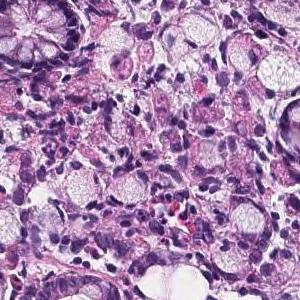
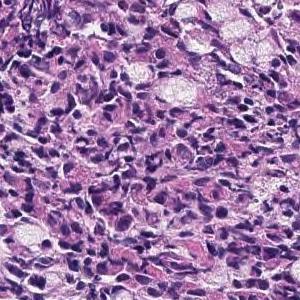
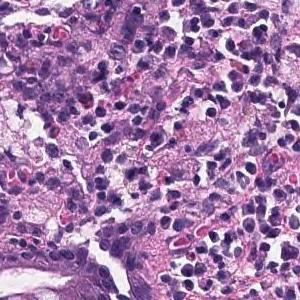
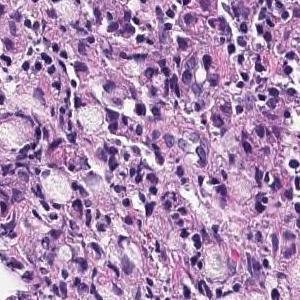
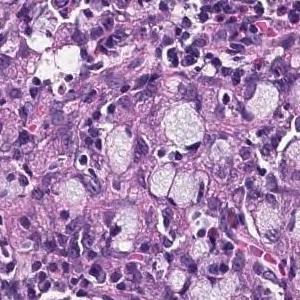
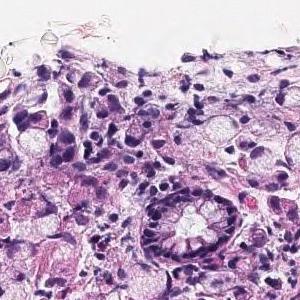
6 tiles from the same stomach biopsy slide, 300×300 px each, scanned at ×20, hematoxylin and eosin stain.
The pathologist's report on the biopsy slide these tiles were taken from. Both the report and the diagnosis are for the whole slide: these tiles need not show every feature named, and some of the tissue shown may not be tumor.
A tumor tissue consisting of signet ring cell carcinoma cells is observed in the lamina propria. Signet ring cell carcinoma.
